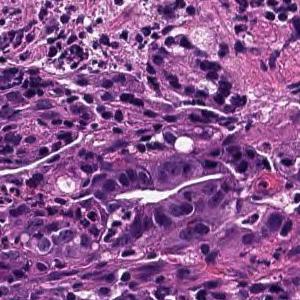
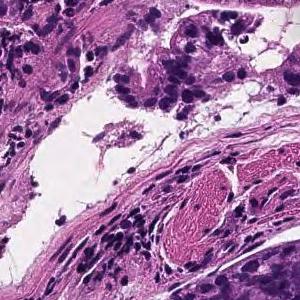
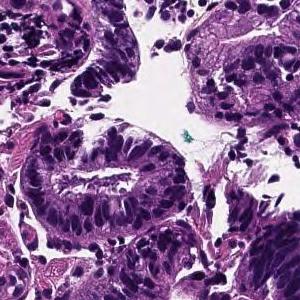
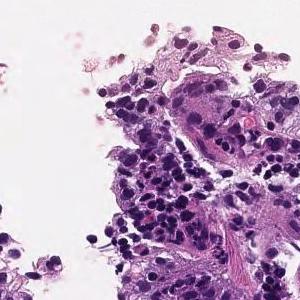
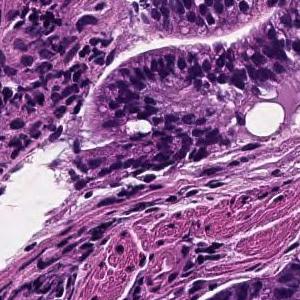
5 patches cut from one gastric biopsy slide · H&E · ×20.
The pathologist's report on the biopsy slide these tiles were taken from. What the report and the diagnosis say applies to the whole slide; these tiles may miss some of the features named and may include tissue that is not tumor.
From the superficial epithelium to the muscularis mucosae, tumor tissue consisting of medium-sized and irregular glandular ducts infiltrating is observed. Well differentiated tubular adenocarcinoma
